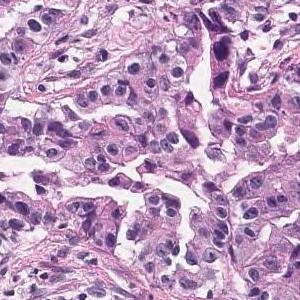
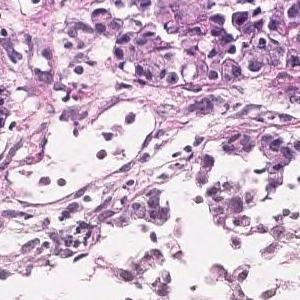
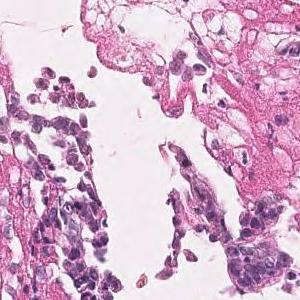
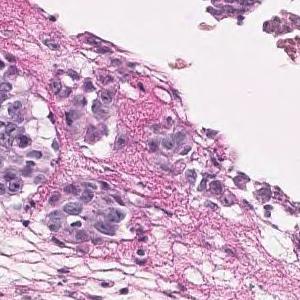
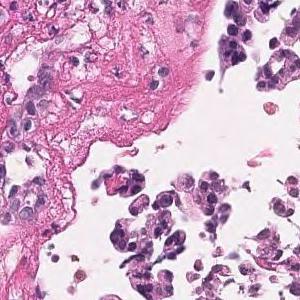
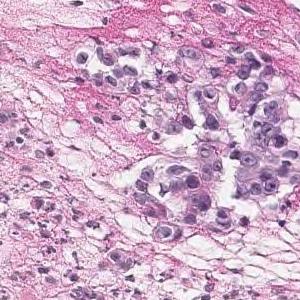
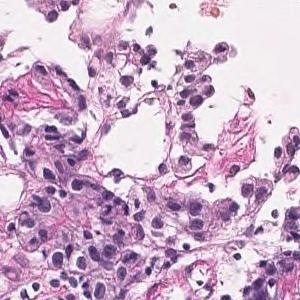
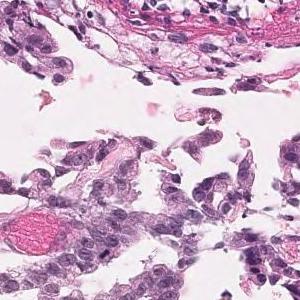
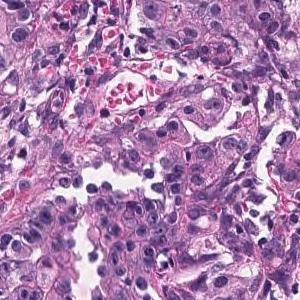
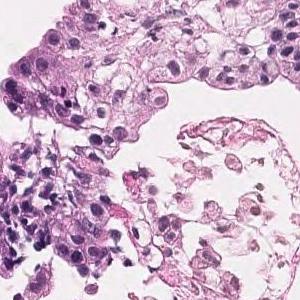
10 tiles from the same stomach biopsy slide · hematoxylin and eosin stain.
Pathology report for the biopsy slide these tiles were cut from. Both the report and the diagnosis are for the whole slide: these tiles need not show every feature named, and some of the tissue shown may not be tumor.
In the superficial epithelium, tumor tissue that invades by forming medium-sized to small, irregular ducts is observed. moderately differentiated tubular adenocarcinoma.
